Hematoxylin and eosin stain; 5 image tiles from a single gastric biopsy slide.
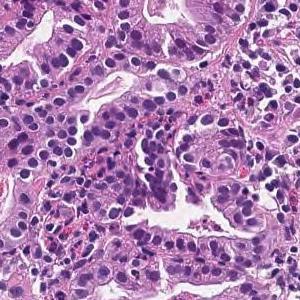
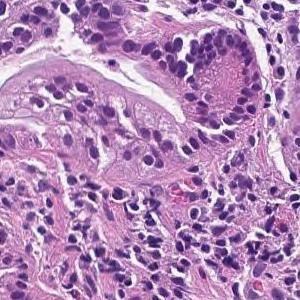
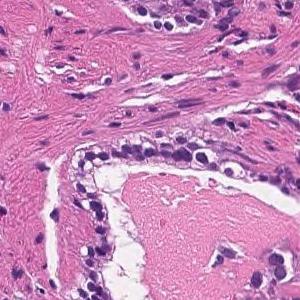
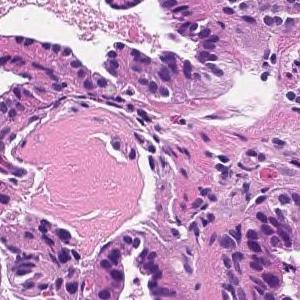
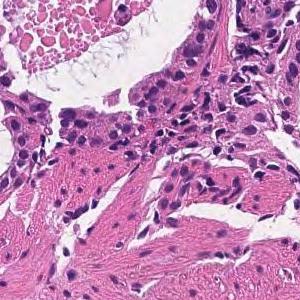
Pathology report for the biopsy slide these tiles were cut from. The report and the diagnosis cover the entire slide, so not every feature they name need be visible here, and some tissue shown may not be tumor.
On the superficial epithelium, tumor tissue that infiltrates by forming medium-sized papillary or small irregular ducts is observed. Papillary adenocarcinoma (Papillary adenocarcinoma)
Tumor subtype: papillary adenocarcinoma.
